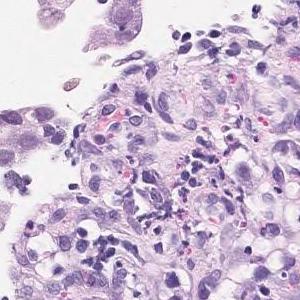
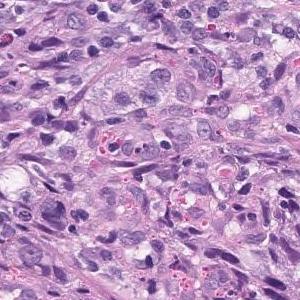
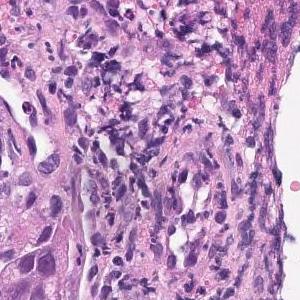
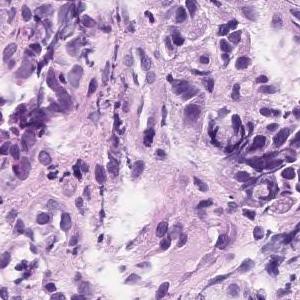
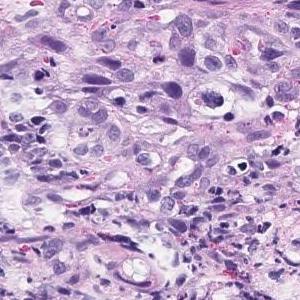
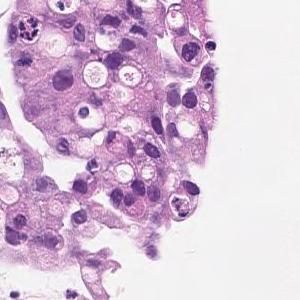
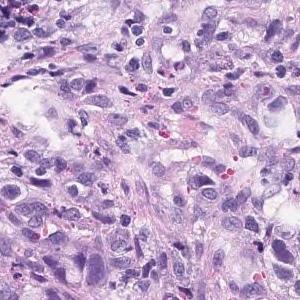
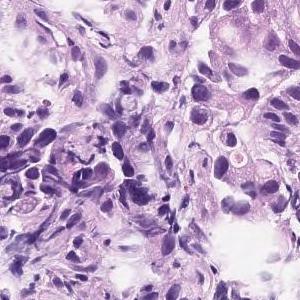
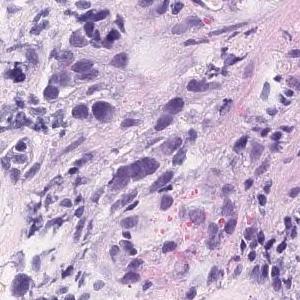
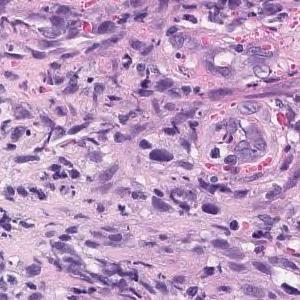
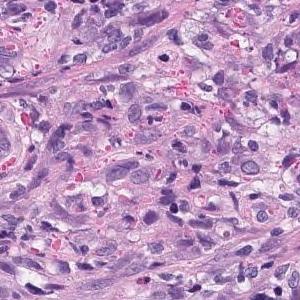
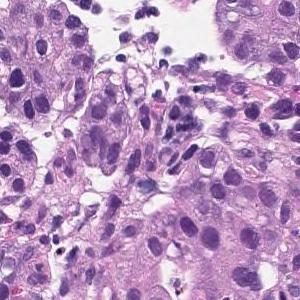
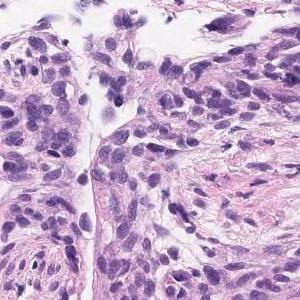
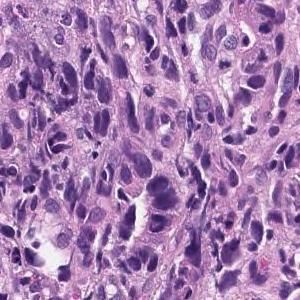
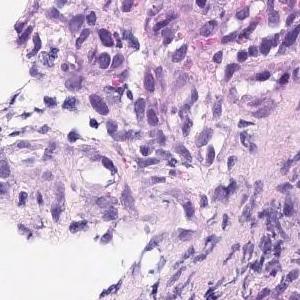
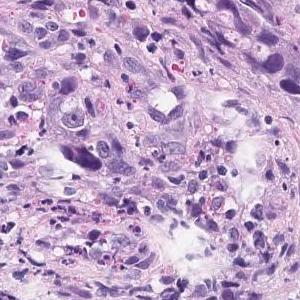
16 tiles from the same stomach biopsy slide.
Pathology report for the biopsy slide these tiles were cut from. The report describes the whole slide, diagnosis included: not every finding it names need appear in these tiles, which may also show non-tumor tissue.
Group 5, Moderately differentiated adenocarcinoma
Histologic type: Moderately differentiated tubular adenocarcinoma.
